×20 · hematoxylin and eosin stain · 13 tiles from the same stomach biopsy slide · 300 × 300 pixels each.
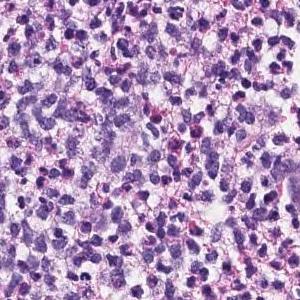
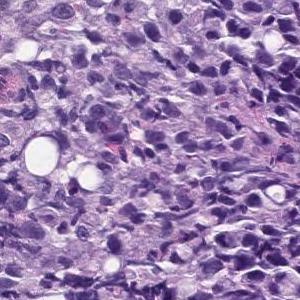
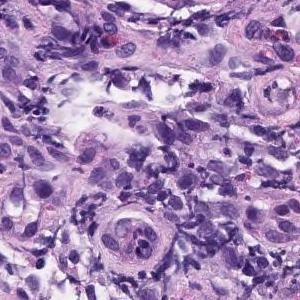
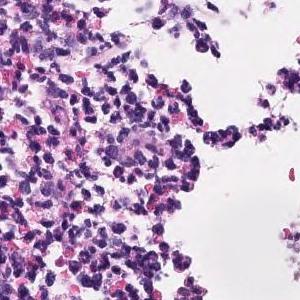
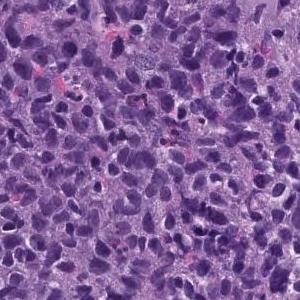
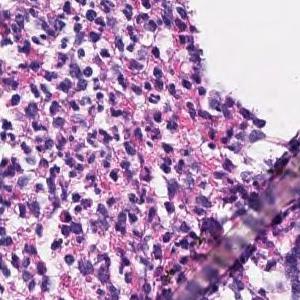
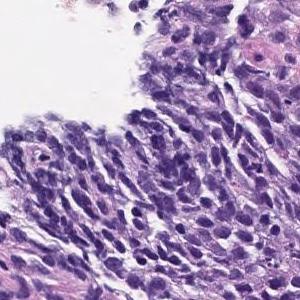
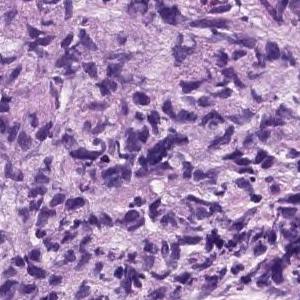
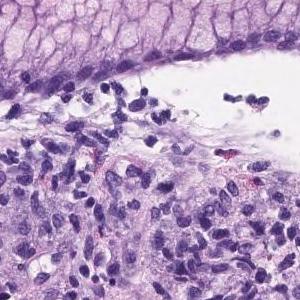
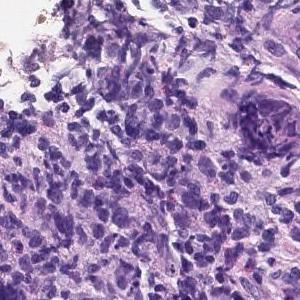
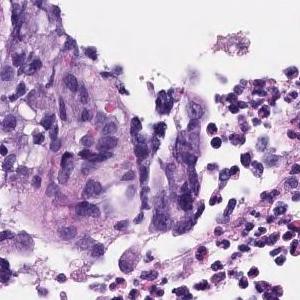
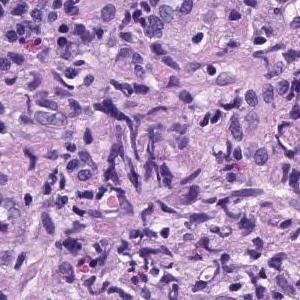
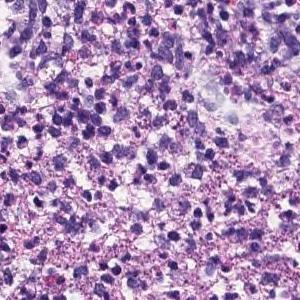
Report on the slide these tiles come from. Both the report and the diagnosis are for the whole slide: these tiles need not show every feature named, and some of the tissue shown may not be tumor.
The superficial epithelium shows a large sheet-like shape, and some tumor tissue infiltrates with small irregular ducts. Poorly differentiated adenocarcinoma, solid-type
Histological subtype: Poorly differentiated adenocarcinoma, solid type. This name comes from the Japanese Classification of Gastric Carcinoma; the WHO 2019 classification calls it tubular adenocarcinoma, poorly differentiated.
